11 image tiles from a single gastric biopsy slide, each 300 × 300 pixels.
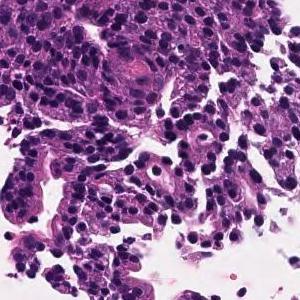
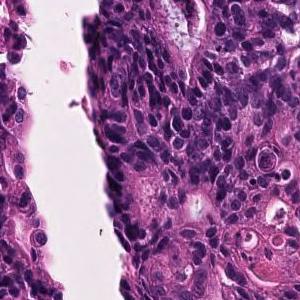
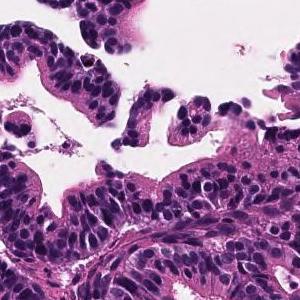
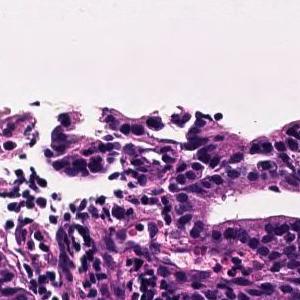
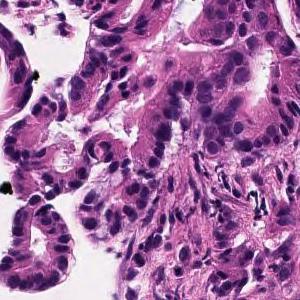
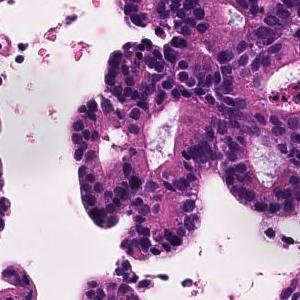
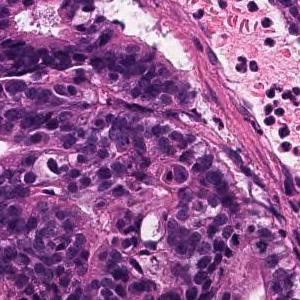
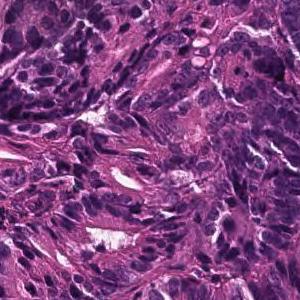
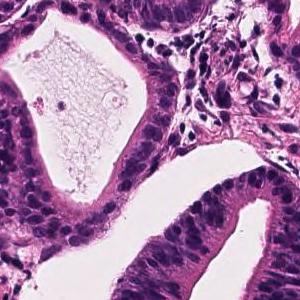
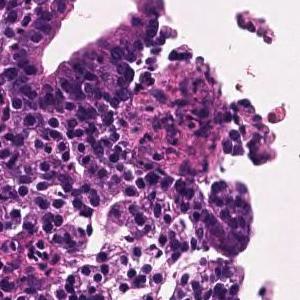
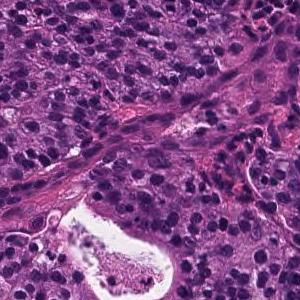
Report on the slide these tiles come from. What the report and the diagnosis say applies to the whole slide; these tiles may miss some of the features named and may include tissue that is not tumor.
In the superficial epithelium, tumor tissue that invades by forming medium-sized to small, irregular ducts is observed. Moderately differentiated adenocarcinoma.
Histological subtype: Moderately differentiated tubular adenocarcinoma.
